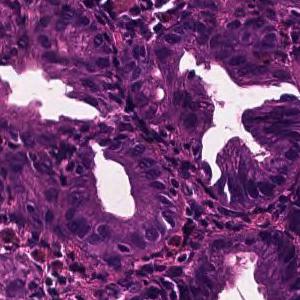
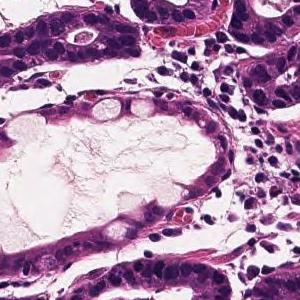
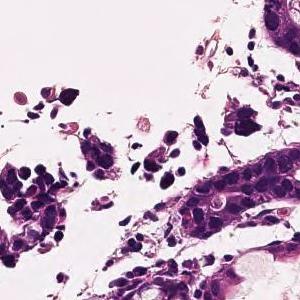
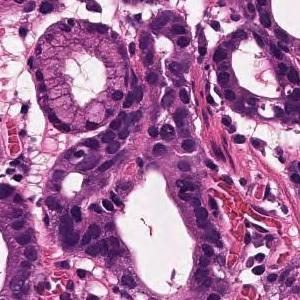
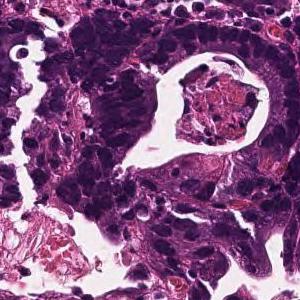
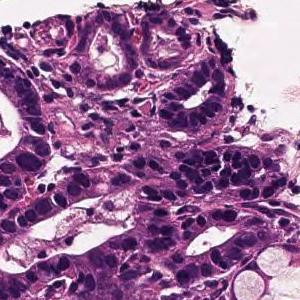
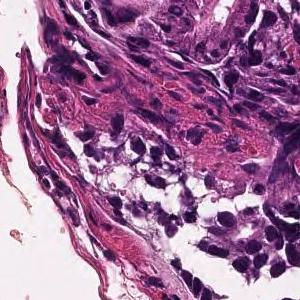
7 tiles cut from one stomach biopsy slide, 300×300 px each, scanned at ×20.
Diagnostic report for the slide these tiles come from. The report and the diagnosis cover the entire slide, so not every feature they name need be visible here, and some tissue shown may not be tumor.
On the superficial epithelium, tumor tissue consisting of medium-sized and irregular glandular ducts partially fused and infiltrated is observed. Well to moderately differentiated tubular adenocarcinoma (well differentiated tubular adenocarcinoma-moderately differentiated tubular adenocarcinoma)
Tumor subtype: well to moderately differentiated tubular adenocarcinoma.
